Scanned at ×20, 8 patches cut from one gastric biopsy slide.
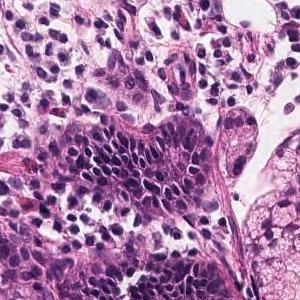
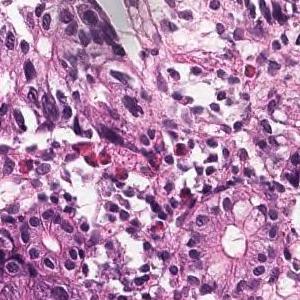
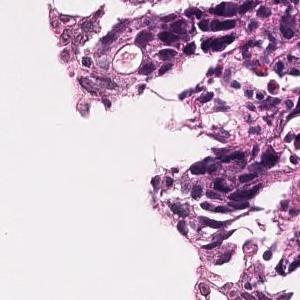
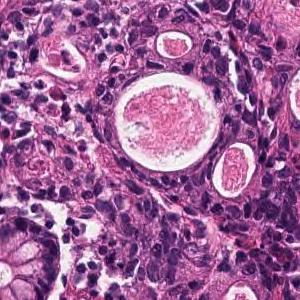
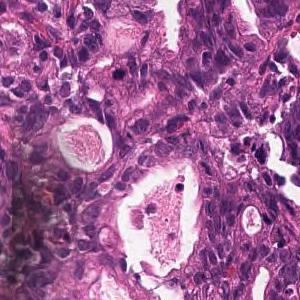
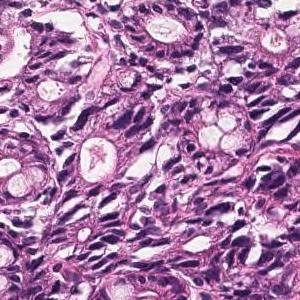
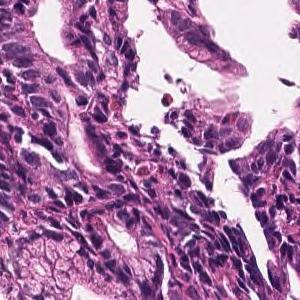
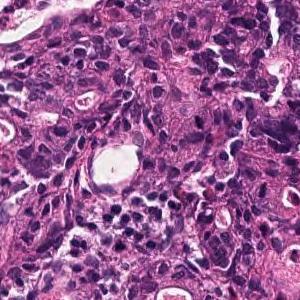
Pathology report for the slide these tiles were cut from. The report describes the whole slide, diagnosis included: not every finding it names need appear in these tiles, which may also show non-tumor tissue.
On the superficial epithelium, tumor tissue consisting of large, irregular glandular ducts partially fused and infiltrated is observed. Well to moderately differentiated tubular adenocarcinoma (well differentiated tubular adenocarcinoma, moderately differentiated tubular adenocarcinoma)
Histologic type: Well to moderately differentiated tubular adenocarcinoma.
